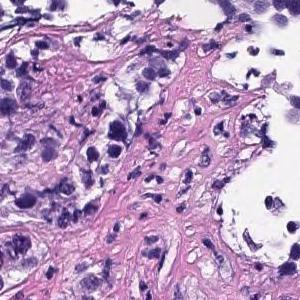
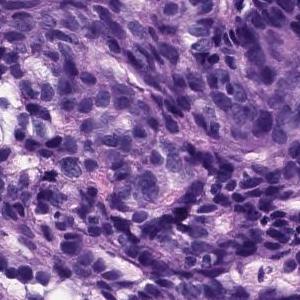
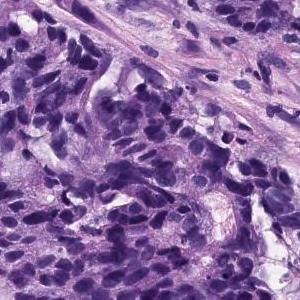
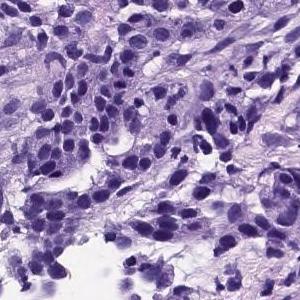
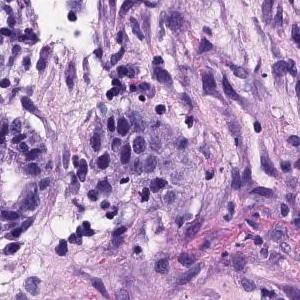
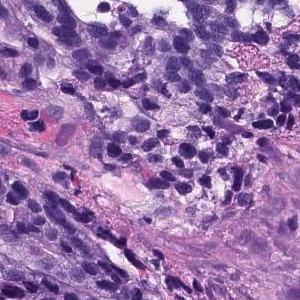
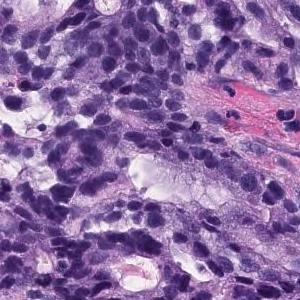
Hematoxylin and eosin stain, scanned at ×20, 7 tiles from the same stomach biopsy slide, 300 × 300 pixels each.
Pathology report for the slide these tiles were cut from. The findings and the diagnosis refer to the entire slide; these tiles show only part of it, possibly with non-tumor tissue, and may not show every feature named.
In the superficial epithelium, tumor tissue that invades by forming medium-sized to small, irregular ducts is observed. Tumor cells are columnar or cuboidal in shape. Moderately differentiated adenocarcinoma.
Classified as moderately differentiated tubular adenocarcinoma.
